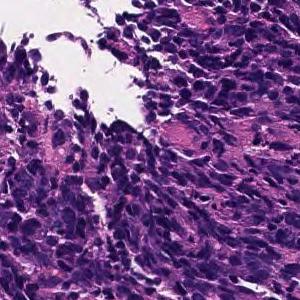
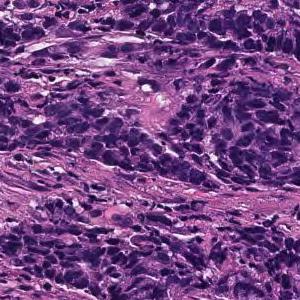
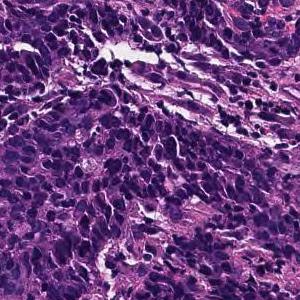
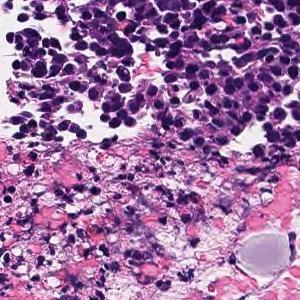
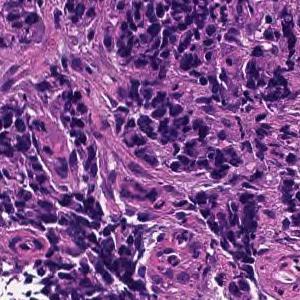
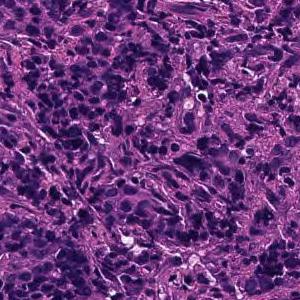
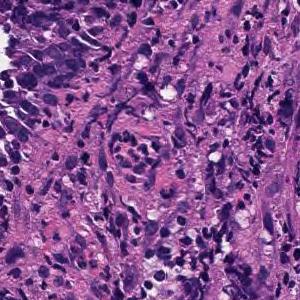
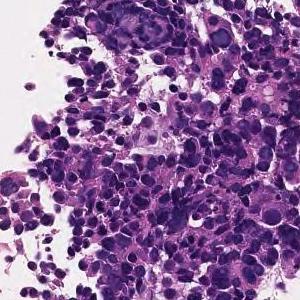
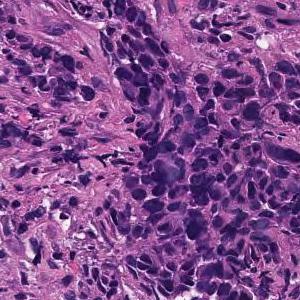
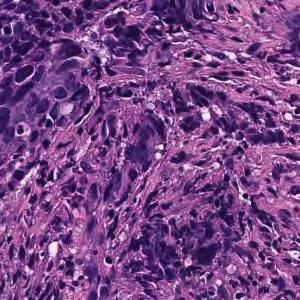
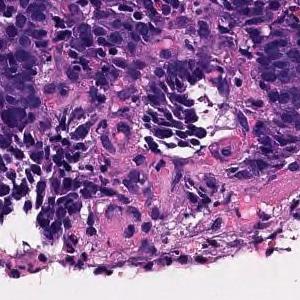
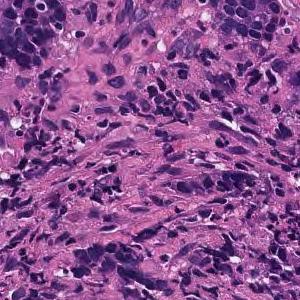
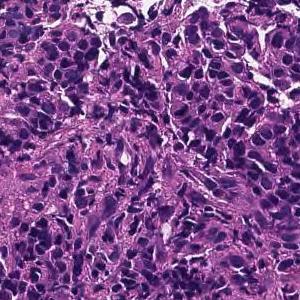
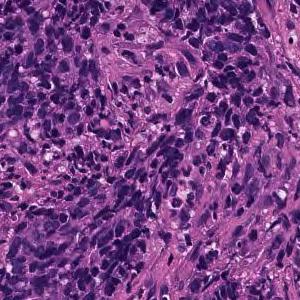
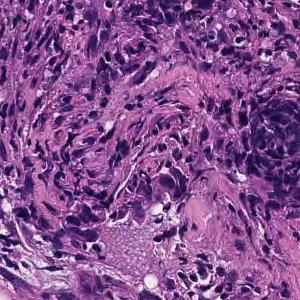
15 tiles from the same stomach biopsy slide, hematoxylin and eosin stain.
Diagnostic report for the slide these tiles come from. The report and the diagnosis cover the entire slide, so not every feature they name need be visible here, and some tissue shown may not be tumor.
Tumor tissue consisting of cord-like or small, irregular glandular ducts fused and infiltrated is observed in the superficial epithelium. Poorly differentiated adenocarcinoma, non-solid type
The term "non-solid type" comes from the Japanese Classification of Gastric Carcinoma.
